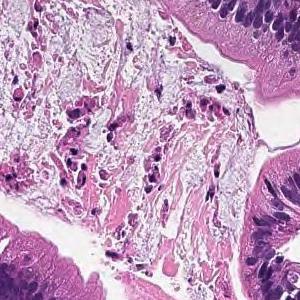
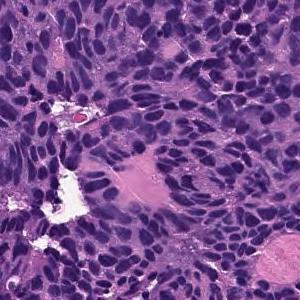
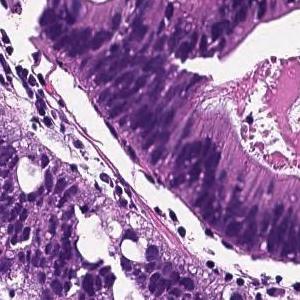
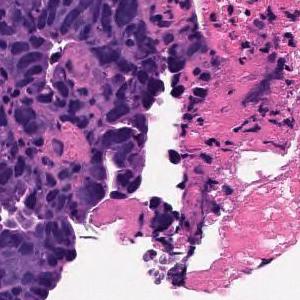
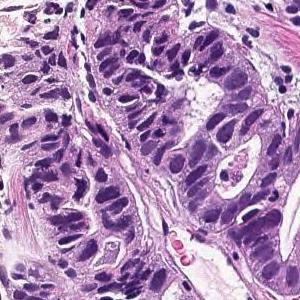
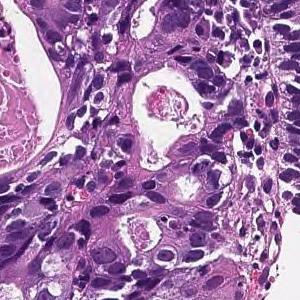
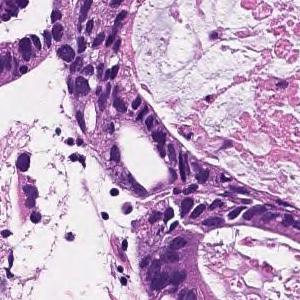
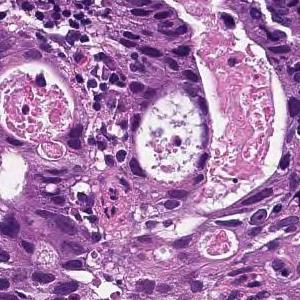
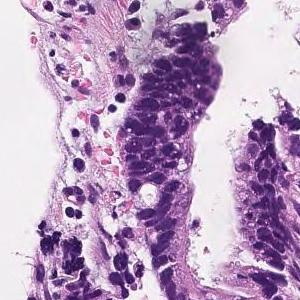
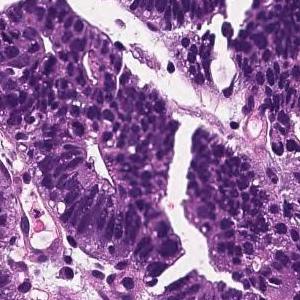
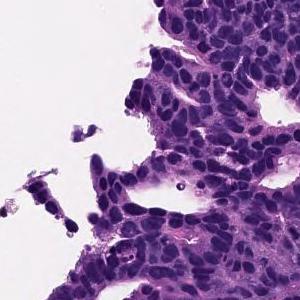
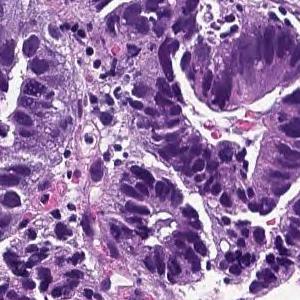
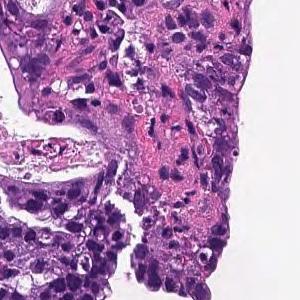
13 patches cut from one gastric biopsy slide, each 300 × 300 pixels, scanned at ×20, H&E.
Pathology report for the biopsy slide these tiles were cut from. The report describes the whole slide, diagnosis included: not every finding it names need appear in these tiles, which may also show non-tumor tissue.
In the superficial epithelium, tumor tissue that invades by forming medium-sized to small, irregular ducts is observed. moderately differentiated tubular adenocarcinoma.
